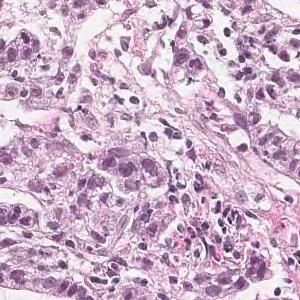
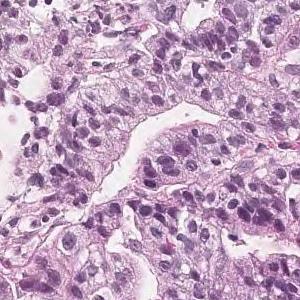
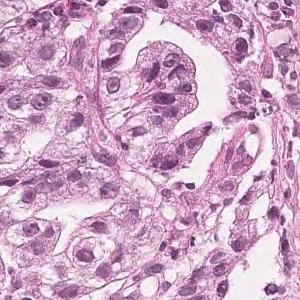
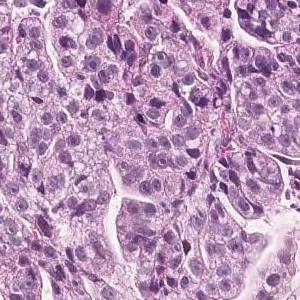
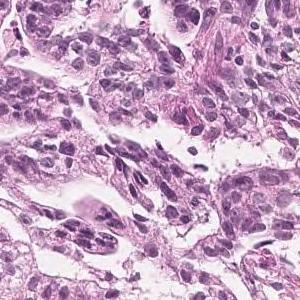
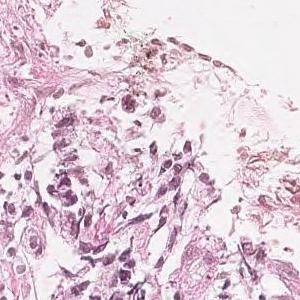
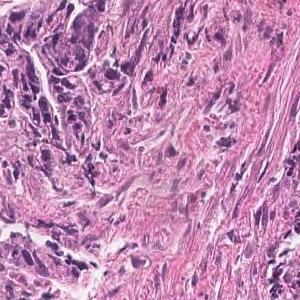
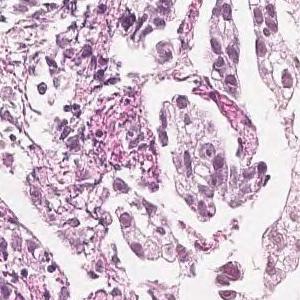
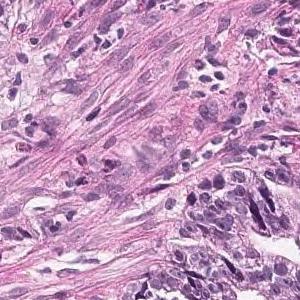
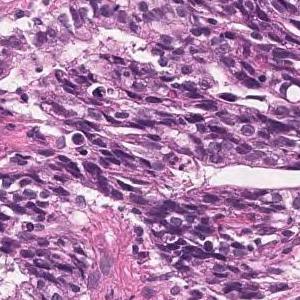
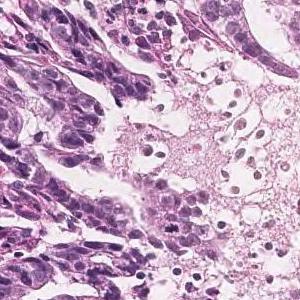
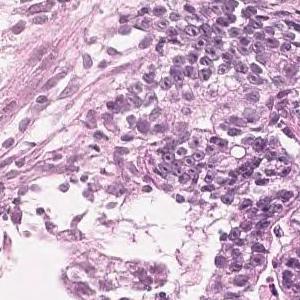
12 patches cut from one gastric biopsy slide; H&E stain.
The pathologist's report on the biopsy slide these tiles were taken from. The report and the diagnosis describe the slide as a whole, so these tiles may not show every feature named and may include non-tumor tissue.
Tumor tissue in which highly columnar atypical epithelial cells with nuclear enlargement and increased nuclear chromatin show papillary to papillary ductal structure and proliferate is observed. Papillary adenocarcinoma.
